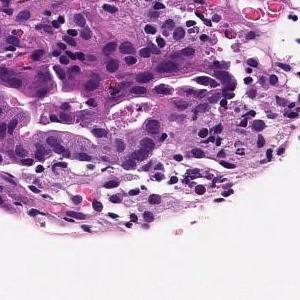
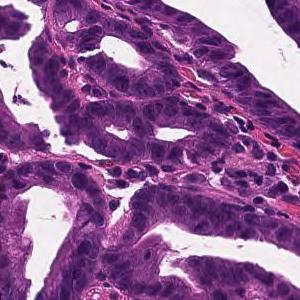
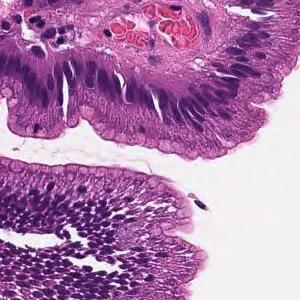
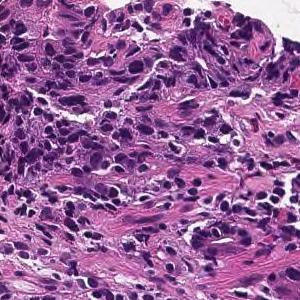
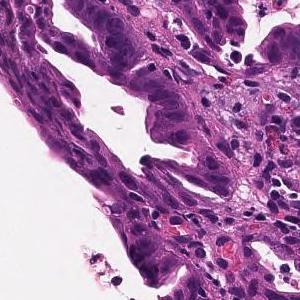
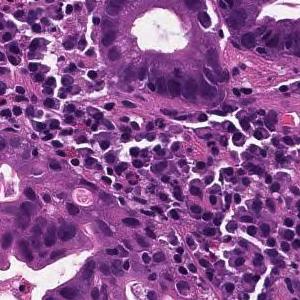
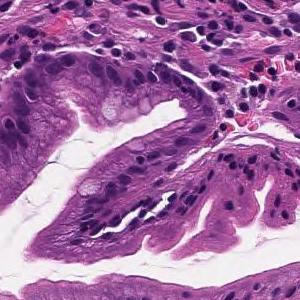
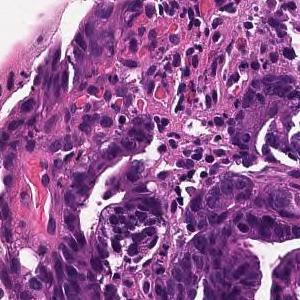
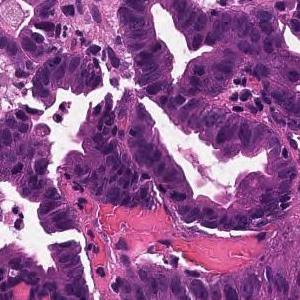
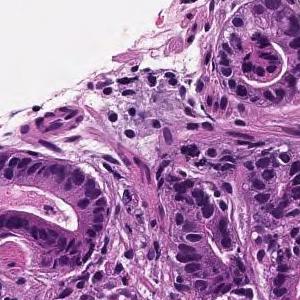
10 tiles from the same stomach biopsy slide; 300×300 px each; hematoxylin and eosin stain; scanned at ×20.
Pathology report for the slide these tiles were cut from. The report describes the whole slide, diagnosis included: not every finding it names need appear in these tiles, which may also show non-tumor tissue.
From the superficial epithelium to the muscularis mucosae, tumor tissue consisting of medium-sized and irregular glandular ducts infiltrating is observed. Well differentiated tubular adenocarcinoma
